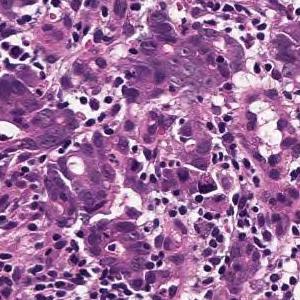
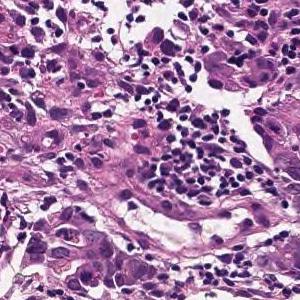
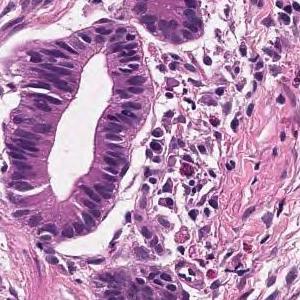
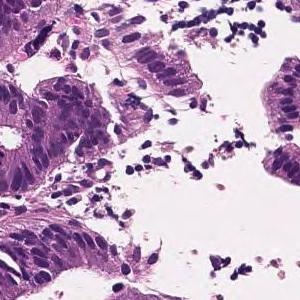
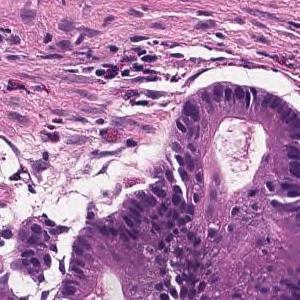
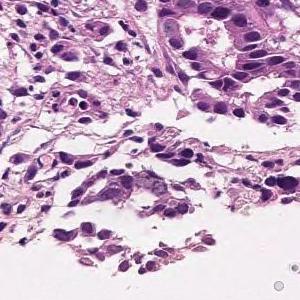
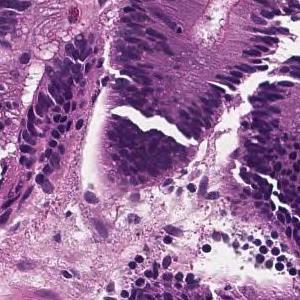
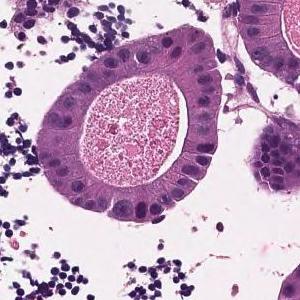
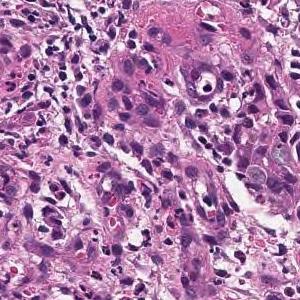
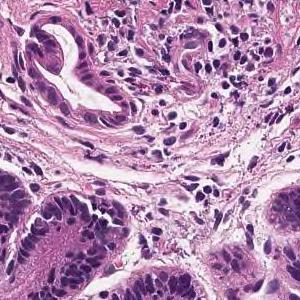
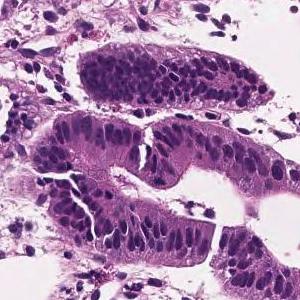
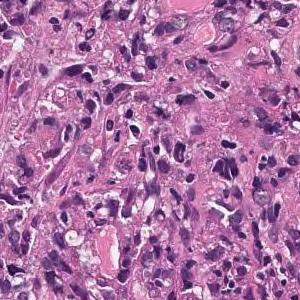
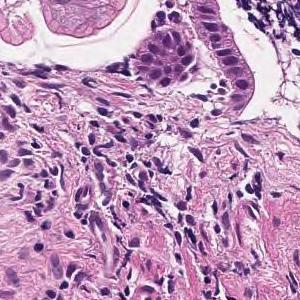
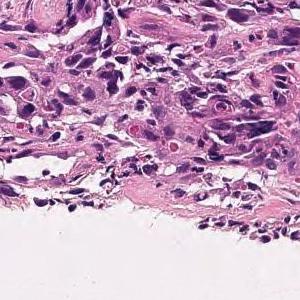
Hematoxylin and eosin stain · ×20 · 14 image tiles from a single gastric biopsy slide.
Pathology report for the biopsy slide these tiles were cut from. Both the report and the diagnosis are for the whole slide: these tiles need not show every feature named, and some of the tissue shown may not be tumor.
Tumor tissue consisting of cord-like or small, irregular glandular ducts fused and infiltrated is observed in the superficial epithelium. Poorly differentiated adenocarcinoma, non-solid type
The non-solid type named here is a Japanese Classification of Gastric Carcinoma category.
